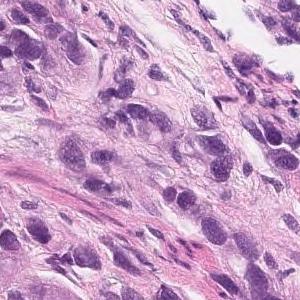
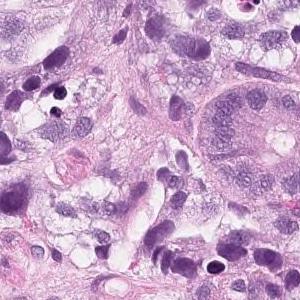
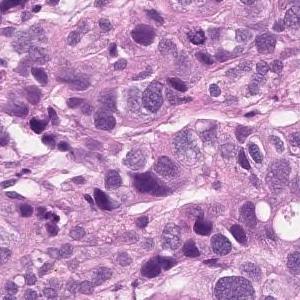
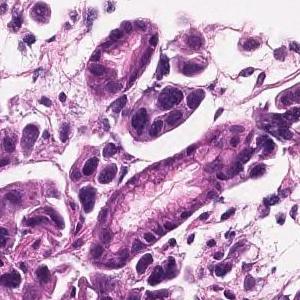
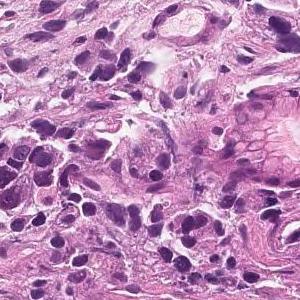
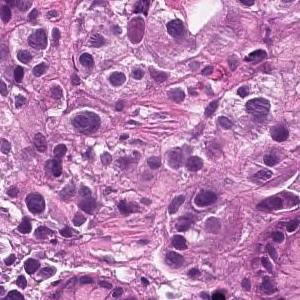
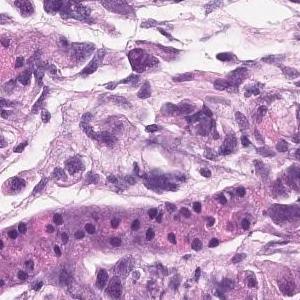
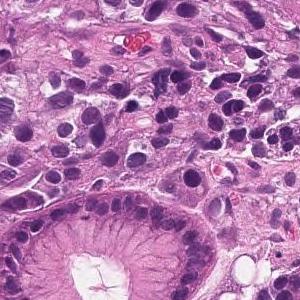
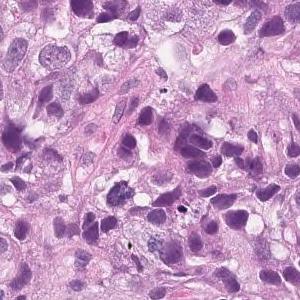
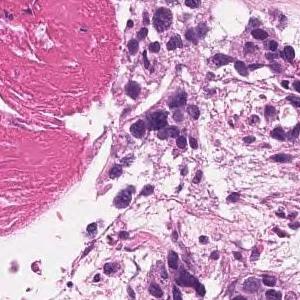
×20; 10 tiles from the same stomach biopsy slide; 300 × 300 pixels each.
Diagnostic report for the slide these tiles come from. The findings and the diagnosis refer to the entire slide; these tiles show only part of it, possibly with non-tumor tissue, and may not show every feature named.
Tumor tissue that infiltrates the epithelium in an alveolar manner. Poorly differentiated adenocarcinoma, solid-type
Subtype: Poorly differentiated adenocarcinoma, solid type. This name comes from the Japanese Classification of Gastric Carcinoma; the WHO 2019 classification calls it tubular adenocarcinoma, poorly differentiated.
